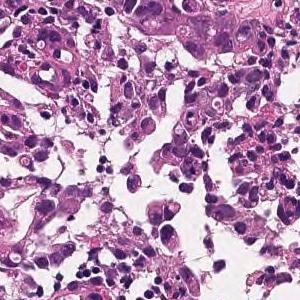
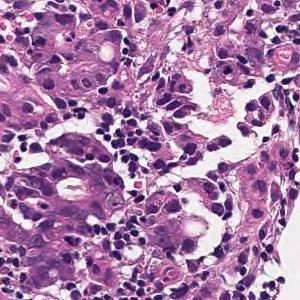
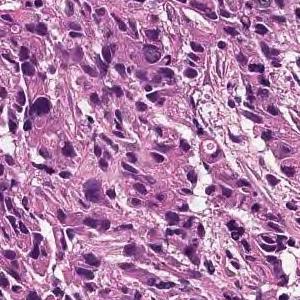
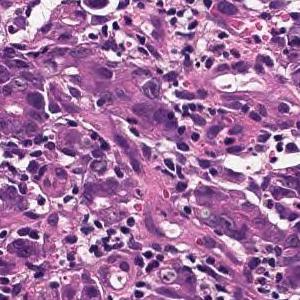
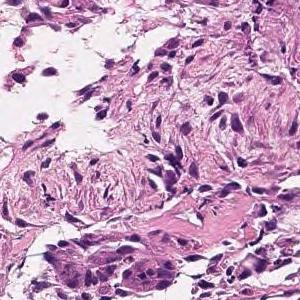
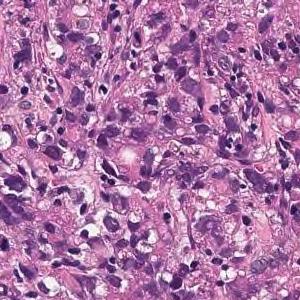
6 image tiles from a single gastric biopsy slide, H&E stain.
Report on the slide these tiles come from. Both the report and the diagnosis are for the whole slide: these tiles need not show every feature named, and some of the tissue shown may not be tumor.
Tumor tissue consisting of cord-like or small, irregular glandular ducts fused and infiltrated is observed in the superficial epithelium. Poorly differentiated adenocarcinoma, non-solid type
The non-solid type named here is a Japanese Classification of Gastric Carcinoma category.
